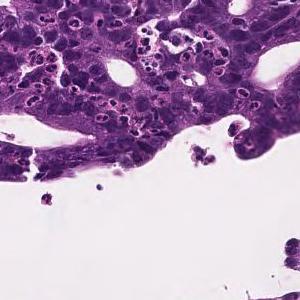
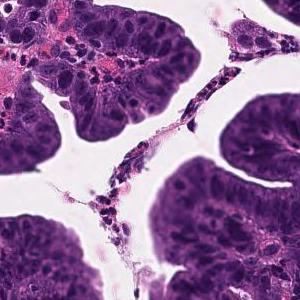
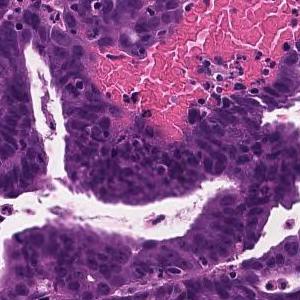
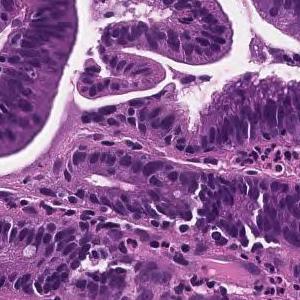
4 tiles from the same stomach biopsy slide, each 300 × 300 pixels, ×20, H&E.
Pathology report for the slide these tiles were cut from. The findings and the diagnosis refer to the entire slide; these tiles show only part of it, possibly with non-tumor tissue, and may not show every feature named.
Tumor cells are large, highly columnar, large club-shaped nuclei, and are associated with chromatin aggregation. Papillary adenocarcinoma.
